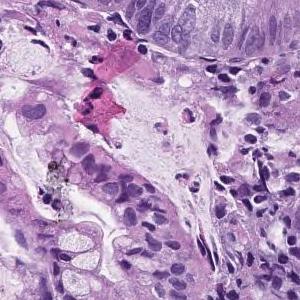
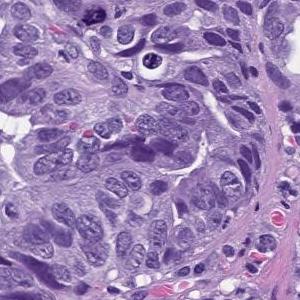
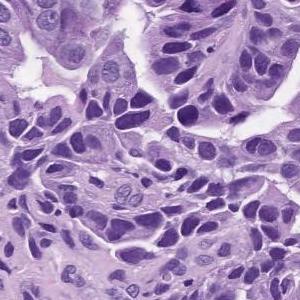
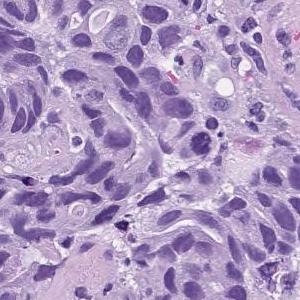
4 image tiles from a single gastric biopsy slide; each 300 × 300 pixels; ×20.
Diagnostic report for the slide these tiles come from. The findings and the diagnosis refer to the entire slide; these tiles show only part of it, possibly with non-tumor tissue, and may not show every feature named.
In the superficial epithelium, tumor tissue that invades by forming medium-sized to small, irregular ducts is observed. moderately differentiated tubular adenocarcinoma.
